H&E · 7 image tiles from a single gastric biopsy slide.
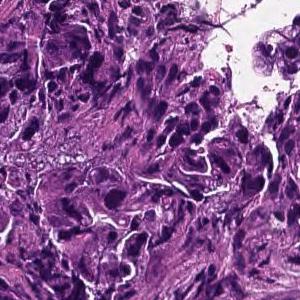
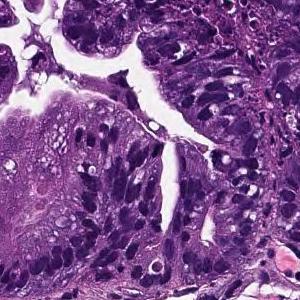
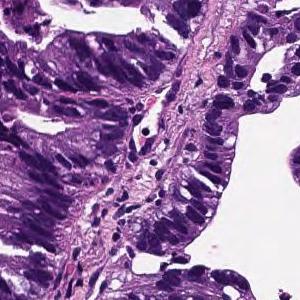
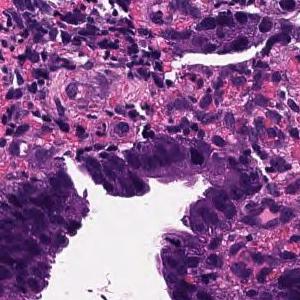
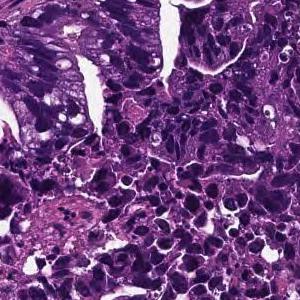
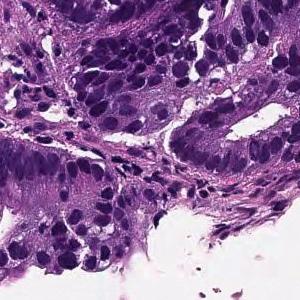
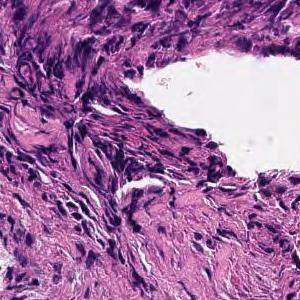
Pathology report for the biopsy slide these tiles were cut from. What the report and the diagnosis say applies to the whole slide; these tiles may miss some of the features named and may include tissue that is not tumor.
Tumor cells are large, highly columnar, large club-shaped nuclei, and are associated with chromatin aggregation. Papillary adenocarcinoma.
